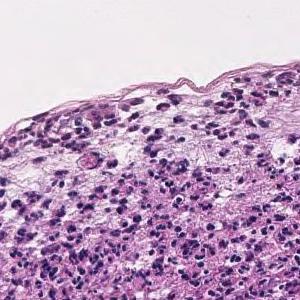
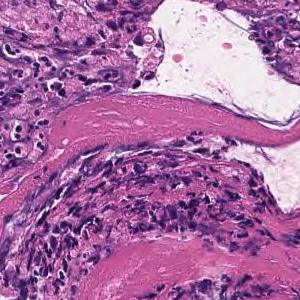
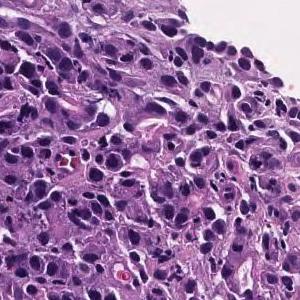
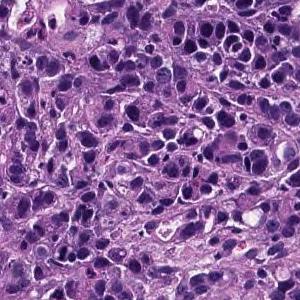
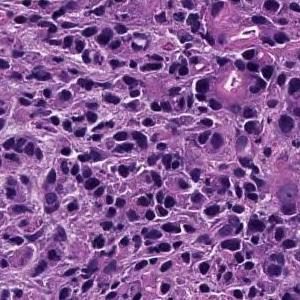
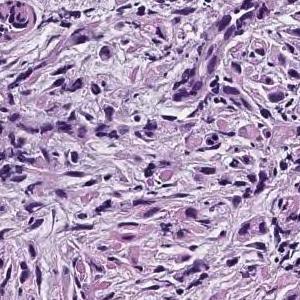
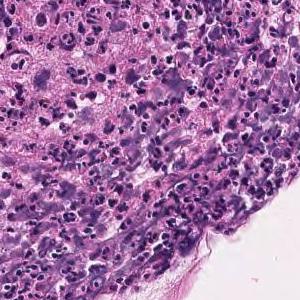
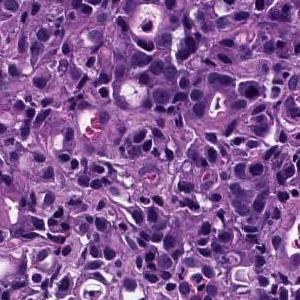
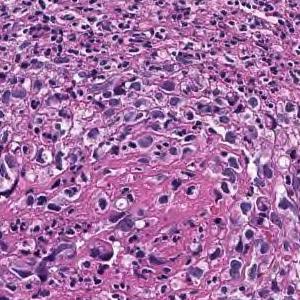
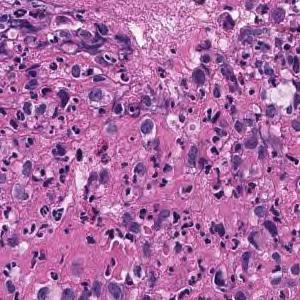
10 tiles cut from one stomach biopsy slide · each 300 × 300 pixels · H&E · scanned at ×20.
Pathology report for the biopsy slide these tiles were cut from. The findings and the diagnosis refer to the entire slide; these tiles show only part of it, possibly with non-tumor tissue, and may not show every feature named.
The superficial epithelium shows a large sheet-like shape, and some tumor tissue infiltrates with small irregular ducts. Poorly differentiated adenocarcinoma, solid-type
Classified as poorly differentiated adenocarcinoma, solid type (Japanese Classification of Gastric Carcinoma). The WHO 2019 equivalent is tubular adenocarcinoma, poorly differentiated.
